15 image tiles from a single gastric biopsy slide · each 300 × 300 pixels · H&E stain.
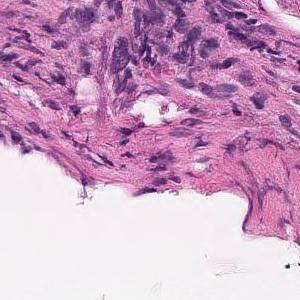
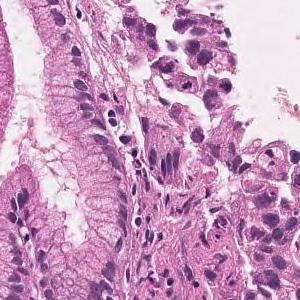
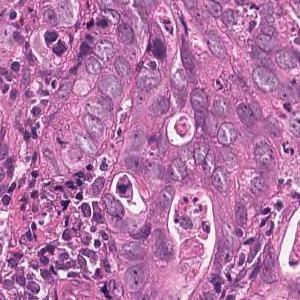
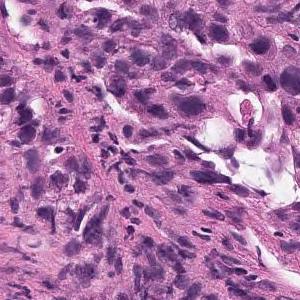
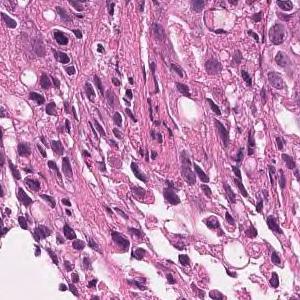
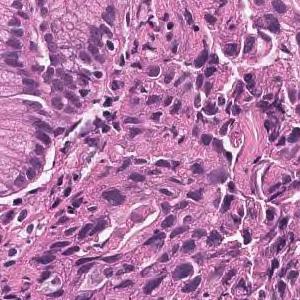
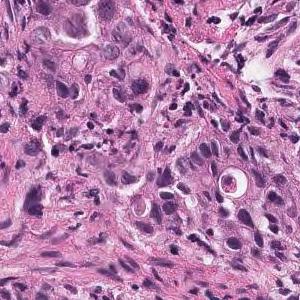
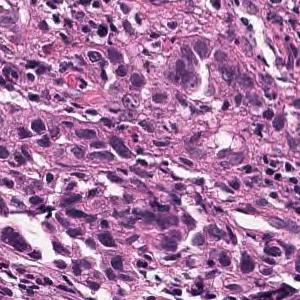
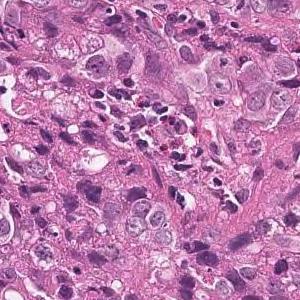
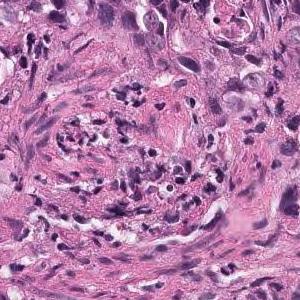
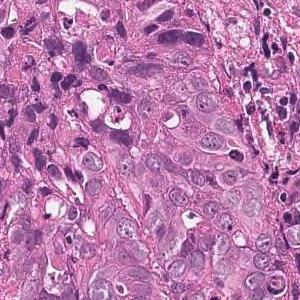
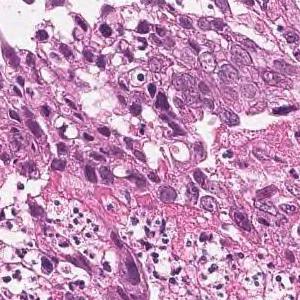
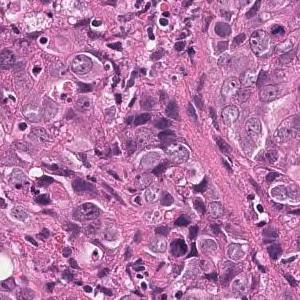
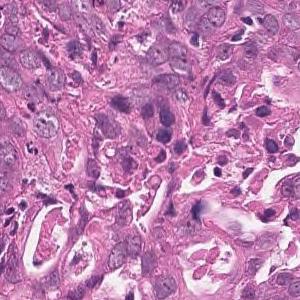
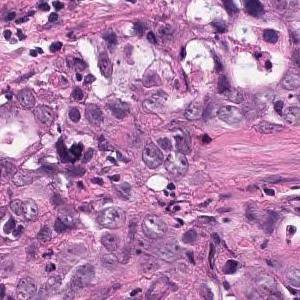
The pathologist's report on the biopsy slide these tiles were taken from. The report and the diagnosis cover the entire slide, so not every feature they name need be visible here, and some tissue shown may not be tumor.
Tumor tissue that infiltrates and proliferates with alveolar or cord-like structures with small glandular cavities in the superficial to submucosal layers is observed. moderately differentiated tubular adenocarcinoma
